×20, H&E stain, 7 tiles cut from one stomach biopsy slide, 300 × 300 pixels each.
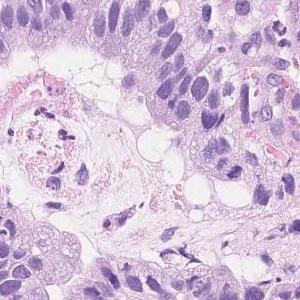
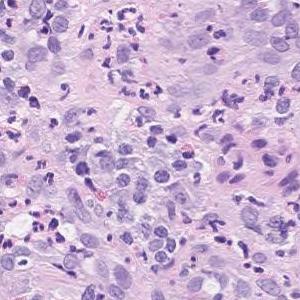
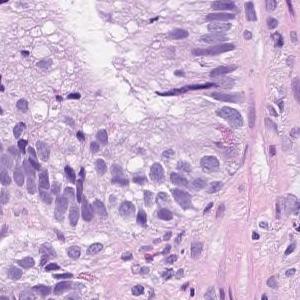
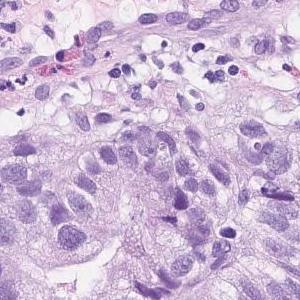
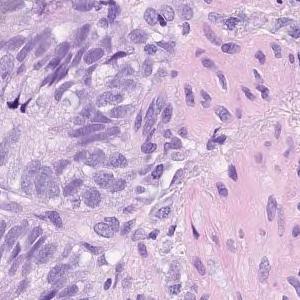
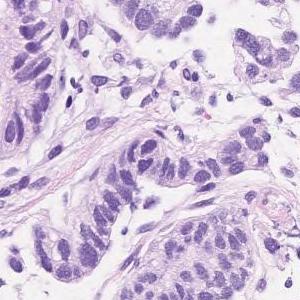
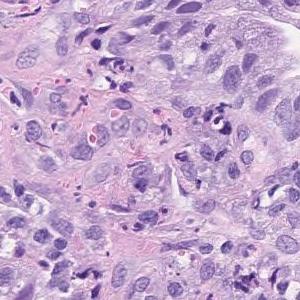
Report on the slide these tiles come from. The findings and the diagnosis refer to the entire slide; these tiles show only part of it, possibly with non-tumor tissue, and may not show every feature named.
Atypical l cells with atypical nuclei forming solid or diffuse vesicles or small irregular atypical ducts and growing in a complex manner. moderately differentiated tubular adenocarcinoma
